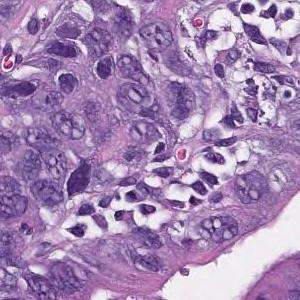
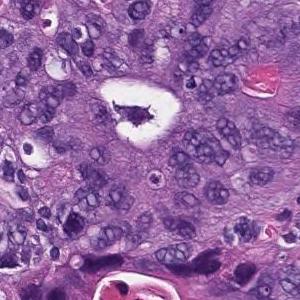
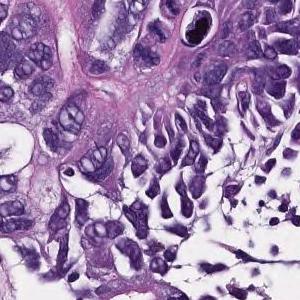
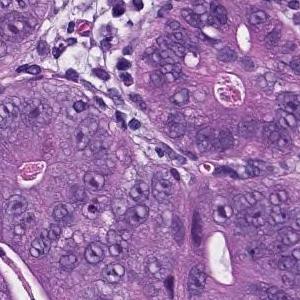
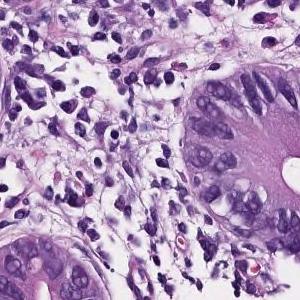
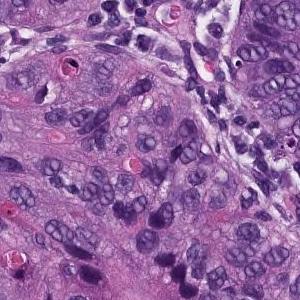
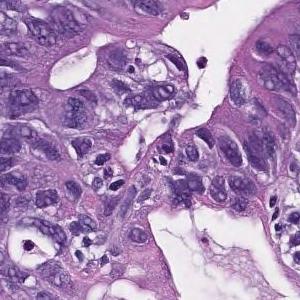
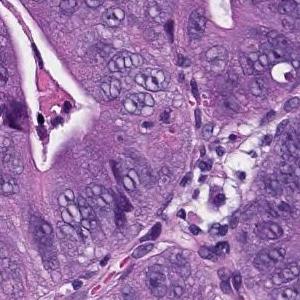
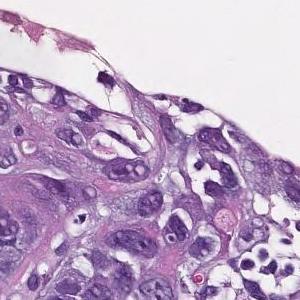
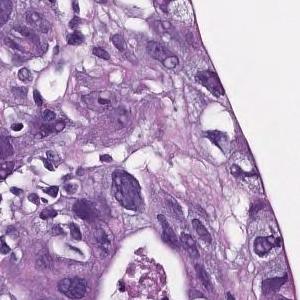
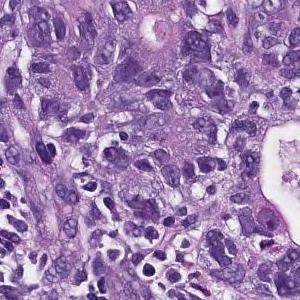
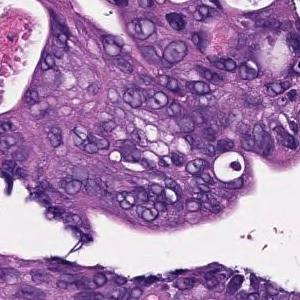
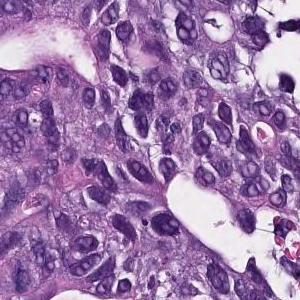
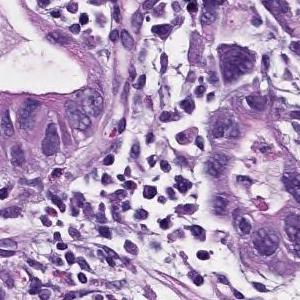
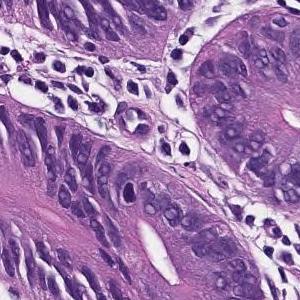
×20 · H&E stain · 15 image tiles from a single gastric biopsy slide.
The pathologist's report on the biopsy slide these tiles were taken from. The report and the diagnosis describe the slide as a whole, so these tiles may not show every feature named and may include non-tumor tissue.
In the superficial epithelium, tumor tissue that invades by forming medium-sized to small, irregular ducts is observed. moderately differentiated tubular adenocarcinoma.
